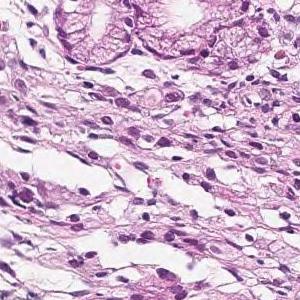
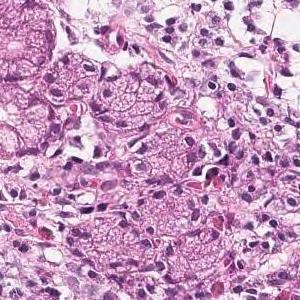
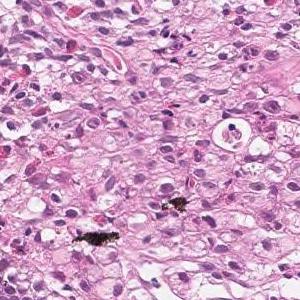
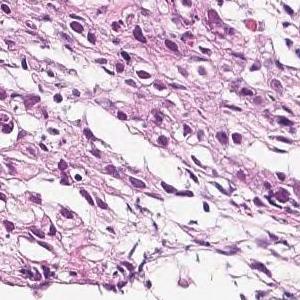
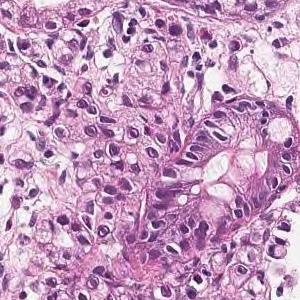
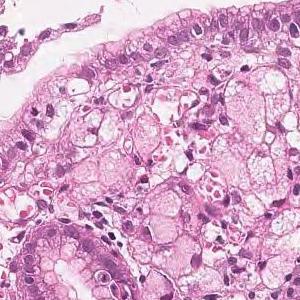
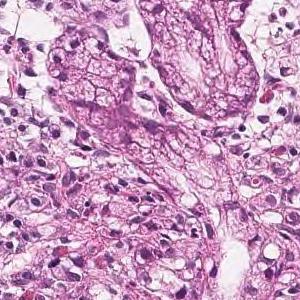
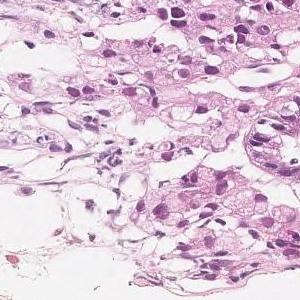
8 patches cut from one gastric biopsy slide · 300 × 300 pixels each · ×20.
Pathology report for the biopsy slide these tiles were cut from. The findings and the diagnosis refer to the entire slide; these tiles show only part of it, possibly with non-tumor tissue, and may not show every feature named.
Atypical epithelium with abundant mucus in the vesicles shows a solid growth without ductal construction. Signet ring cell carcinoma
